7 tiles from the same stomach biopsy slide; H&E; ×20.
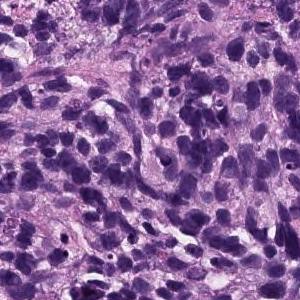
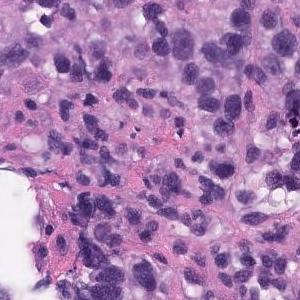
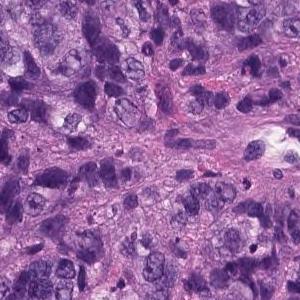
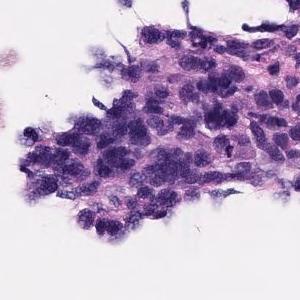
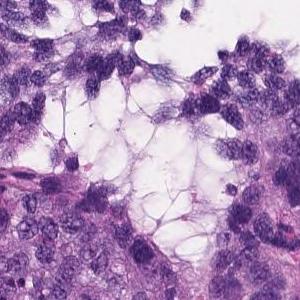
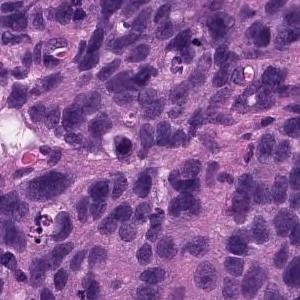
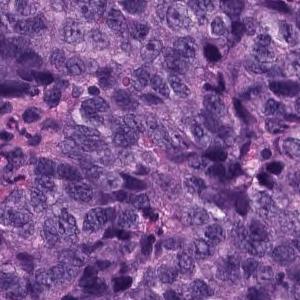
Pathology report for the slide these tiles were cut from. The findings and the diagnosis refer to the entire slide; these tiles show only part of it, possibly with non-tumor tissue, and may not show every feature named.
Atypical l cells with atypical nuclei under the mucosa growing in isolation and scattered. Poorly differentiated adenocarcinoma (poorly differentiated adenocarcinoma, non-solid type)
Subtype: Poorly differentiated adenocarcinoma, non-solid type.
The non-solid type named here is a Japanese Classification of Gastric Carcinoma category.
